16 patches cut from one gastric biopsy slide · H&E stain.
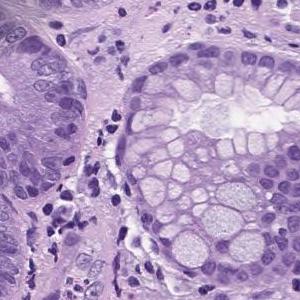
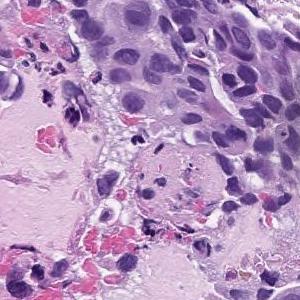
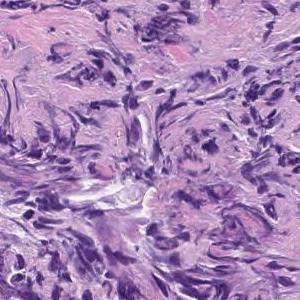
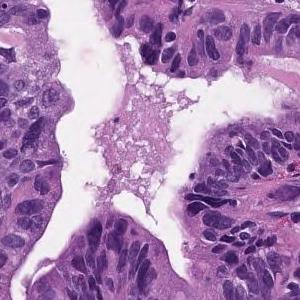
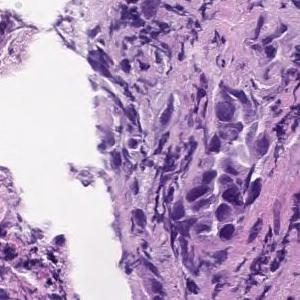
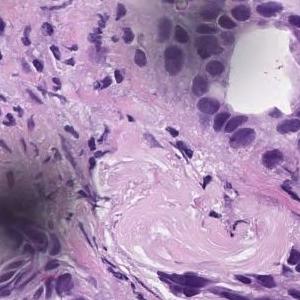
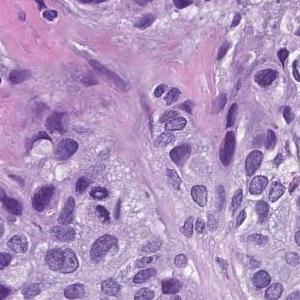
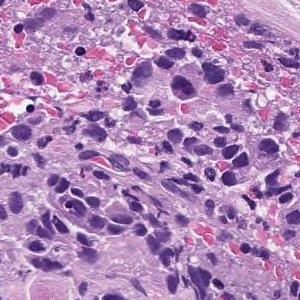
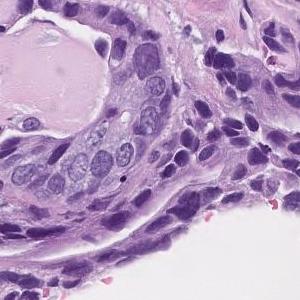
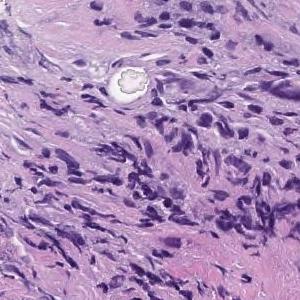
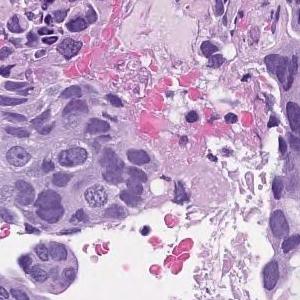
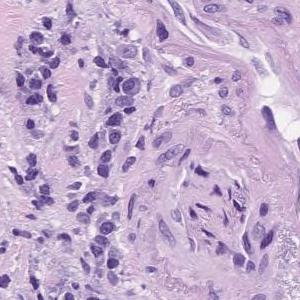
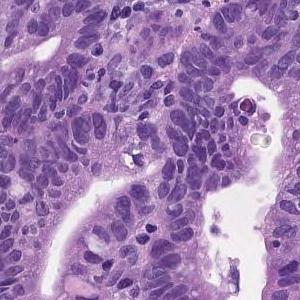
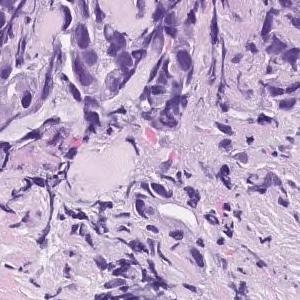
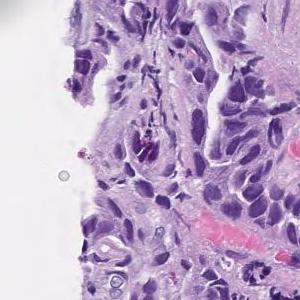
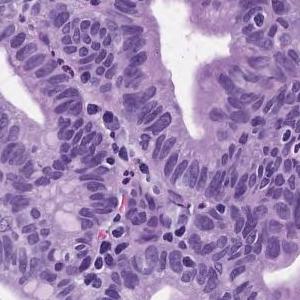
Report on the slide these tiles come from. The report and the diagnosis describe the slide as a whole, so these tiles may not show every feature named and may include non-tumor tissue.
In the superficial epithelium, tumor tissue that invades by forming medium-sized to small, irregular ducts is observed. moderately differentiated tubular adenocarcinoma.
